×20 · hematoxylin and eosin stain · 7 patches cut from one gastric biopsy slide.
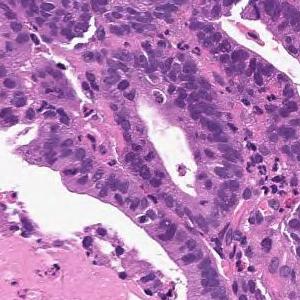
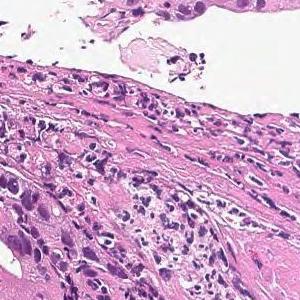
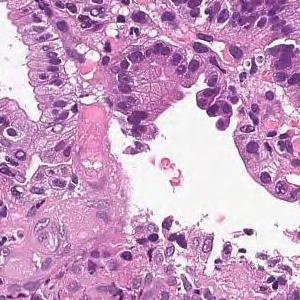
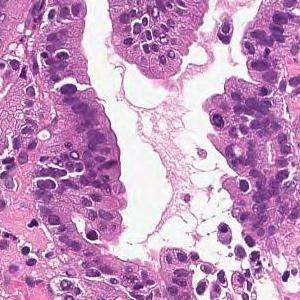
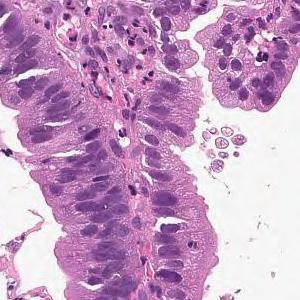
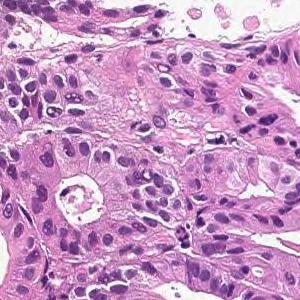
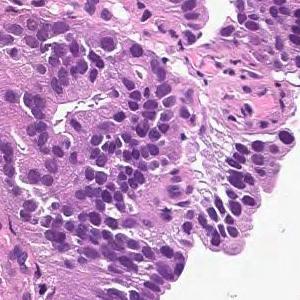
Diagnostic report for the slide these tiles come from. Both the report and the diagnosis are for the whole slide: these tiles need not show every feature named, and some of the tissue shown may not be tumor.
From the superficial epithelium to the muscularis mucosae, tumor tissue consisting of medium-sized and irregular glandular ducts infiltrating is observed. Well differentiated tubular adenocarcinoma
